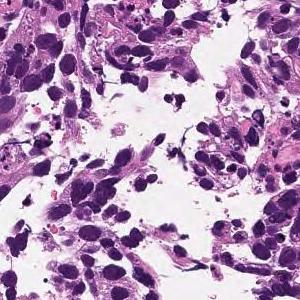
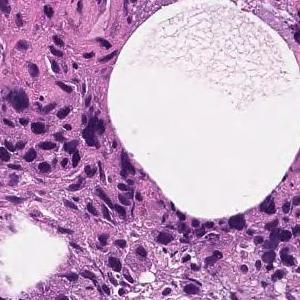
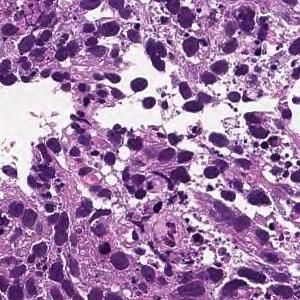
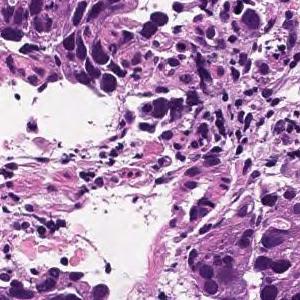
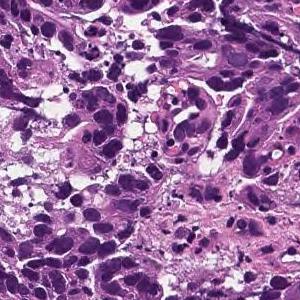
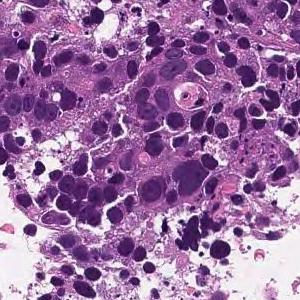
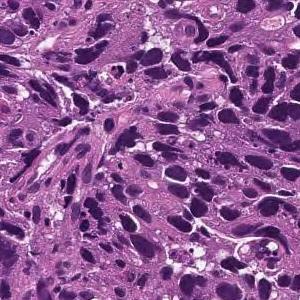
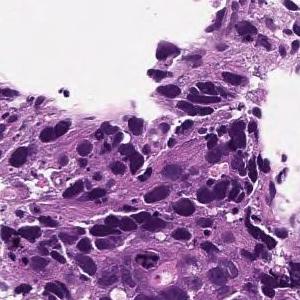
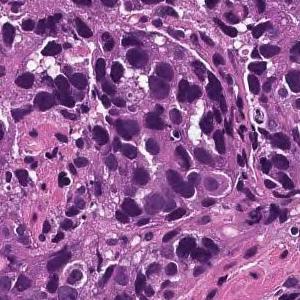
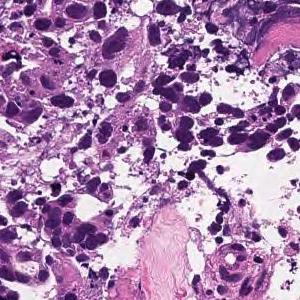
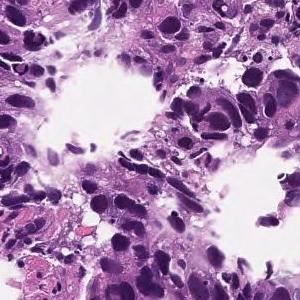
20× magnification · H&E · 11 tiles cut from one stomach biopsy slide.
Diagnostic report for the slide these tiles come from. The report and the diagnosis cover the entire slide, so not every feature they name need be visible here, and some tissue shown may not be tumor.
Tumor cells are medium-sized polygonal with no extracellular mucus production or duct formation. Poorly differentiated adenocarcinoma, solid-type
Tumor subtype: poorly differentiated adenocarcinoma, solid type (Japanese Classification of Gastric Carcinoma). The WHO 2019 equivalent is tubular adenocarcinoma, poorly differentiated.
